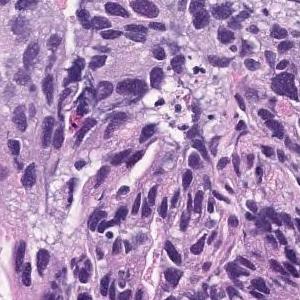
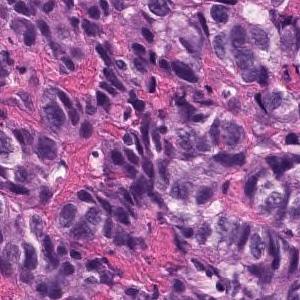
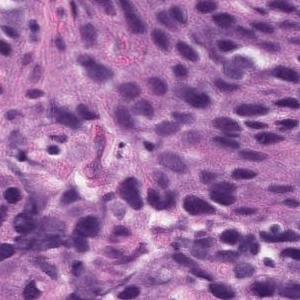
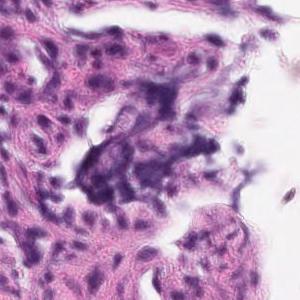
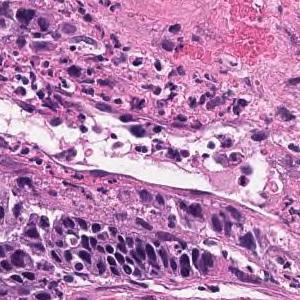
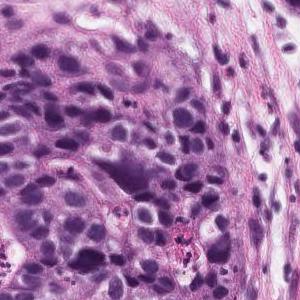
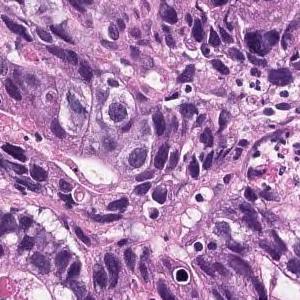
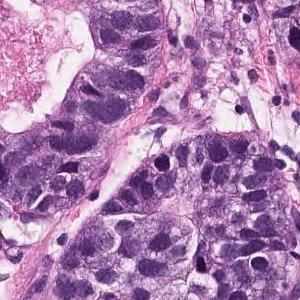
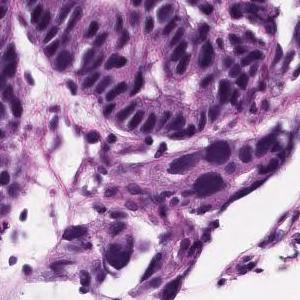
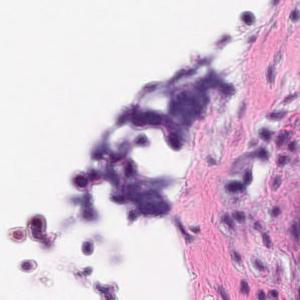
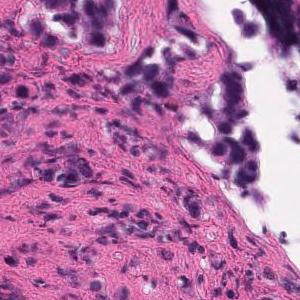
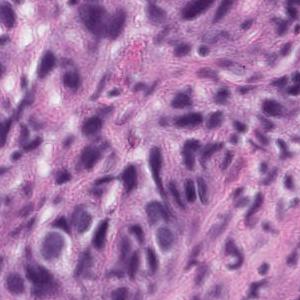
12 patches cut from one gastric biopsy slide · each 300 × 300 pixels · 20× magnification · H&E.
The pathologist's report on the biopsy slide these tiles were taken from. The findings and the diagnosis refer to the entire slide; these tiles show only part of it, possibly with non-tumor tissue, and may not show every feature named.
Medium to small, irregular glandular ducts are formed in the superficial epithelium, and in some cases, the glandular ducts are fused to show solid alveolar lesions and infiltrating tumor tissue is observed. Moderately to poorly differentiated adenocarcinoma.
